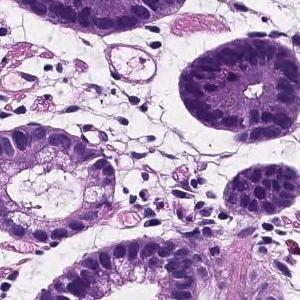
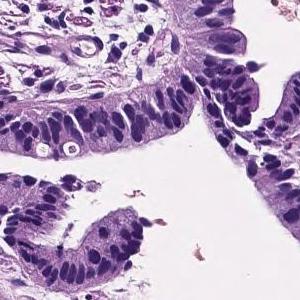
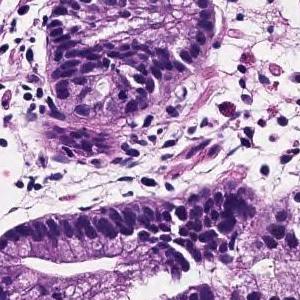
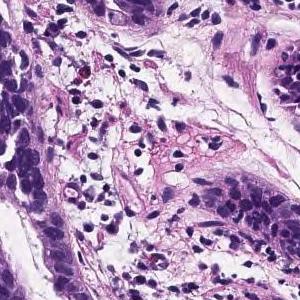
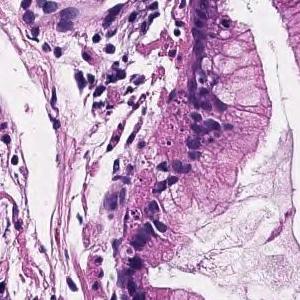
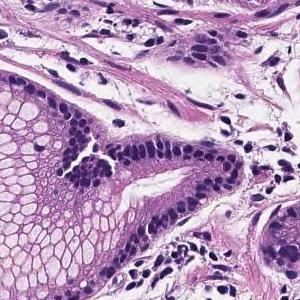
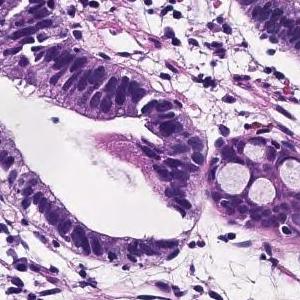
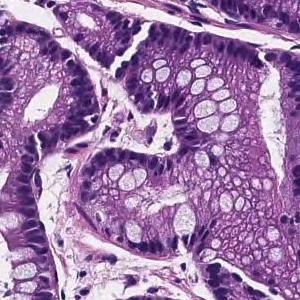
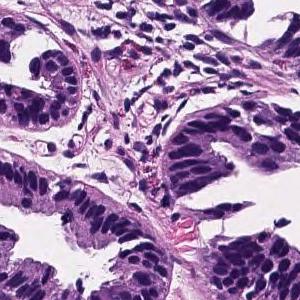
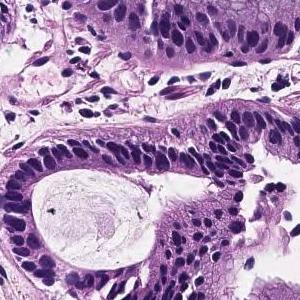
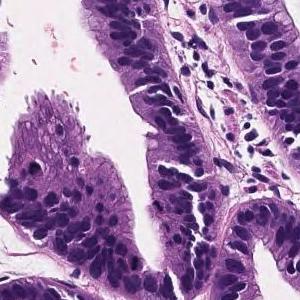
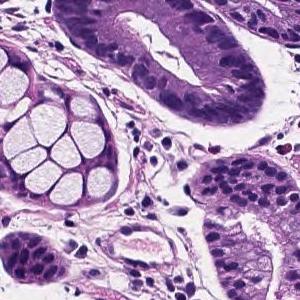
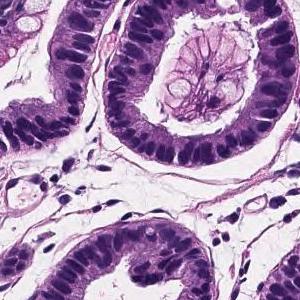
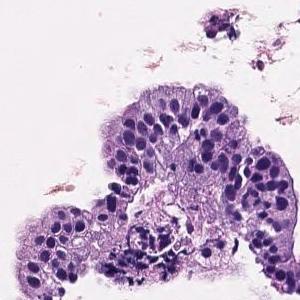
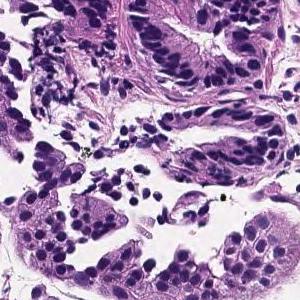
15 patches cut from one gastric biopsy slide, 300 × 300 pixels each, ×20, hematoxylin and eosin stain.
Pathology report for the slide these tiles were cut from. Both the report and the diagnosis are for the whole slide: these tiles need not show every feature named, and some of the tissue shown may not be tumor.
Tumor cells are large, highly columnar, large club-shaped nuclei, and are associated with chromatin aggregation. Papillary adenocarcinoma.
